H&E; 9 patches cut from one gastric biopsy slide.
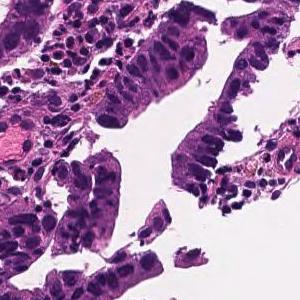
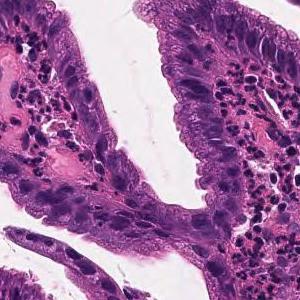
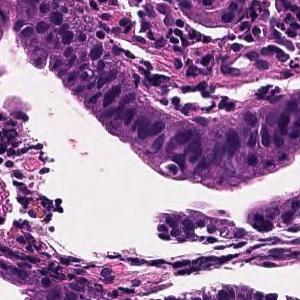
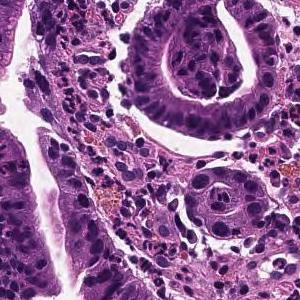
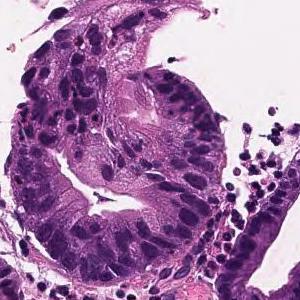
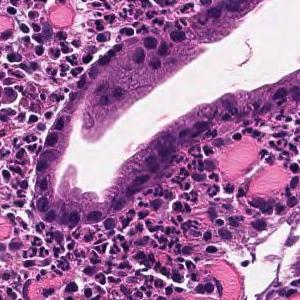
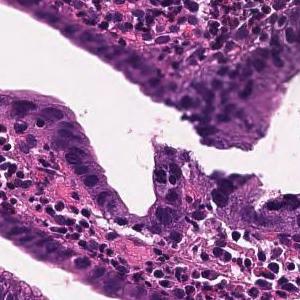
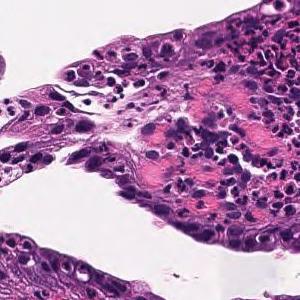
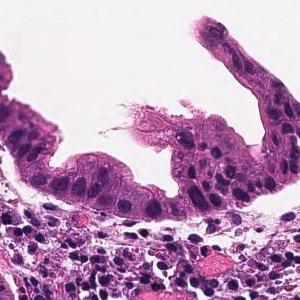
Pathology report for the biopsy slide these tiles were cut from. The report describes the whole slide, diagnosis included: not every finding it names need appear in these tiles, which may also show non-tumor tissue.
From the superficial epithelium to the muscularis mucosae, tumor tissue consisting of medium-sized and irregular glandular ducts infiltrating is observed. Well differentiated tubular adenocarcinoma
